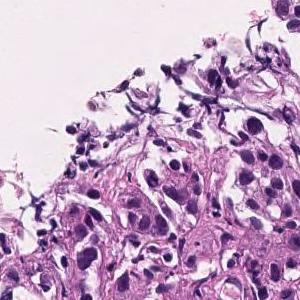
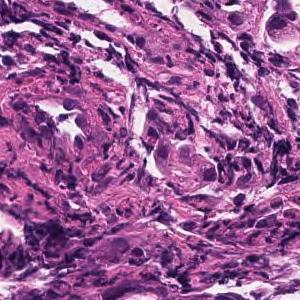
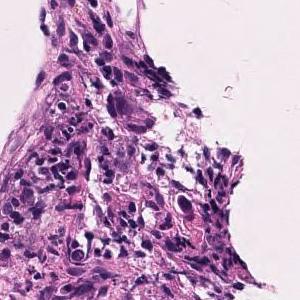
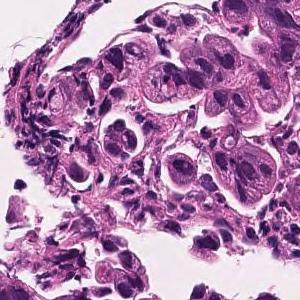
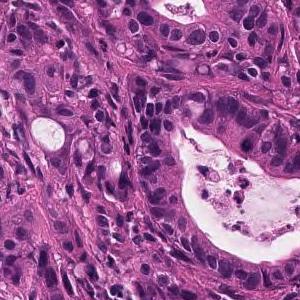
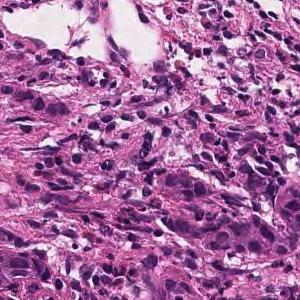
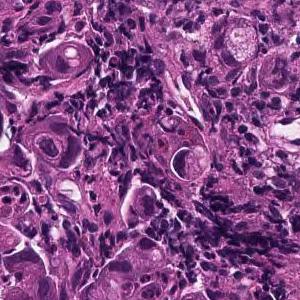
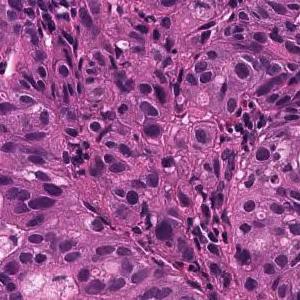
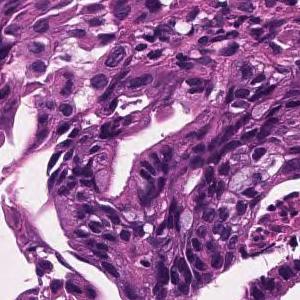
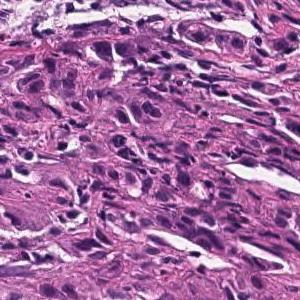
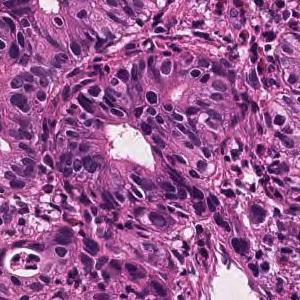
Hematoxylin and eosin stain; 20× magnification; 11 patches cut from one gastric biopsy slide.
Diagnostic report for the slide these tiles come from. The report and the diagnosis cover the entire slide, so not every feature they name need be visible here, and some tissue shown may not be tumor.
Tumor tissue consisting of medium-sized, cord-like or irregular glandular infiltration is observed in the superficial epithelium. Poorly differentiated adenocarcinoma, non-solid type or moderately differentiated tubular adenocarcinoma
"Non-solid type" is a category of the Japanese Classification of Gastric Carcinoma.
